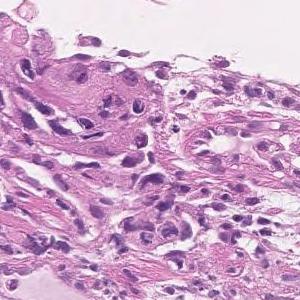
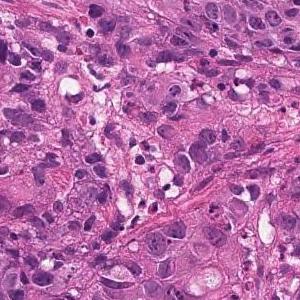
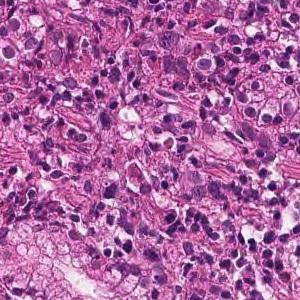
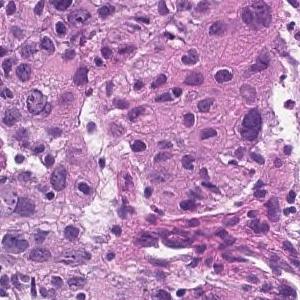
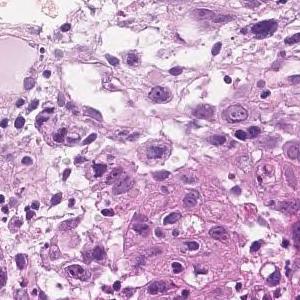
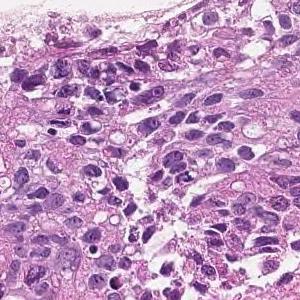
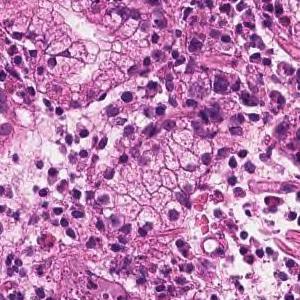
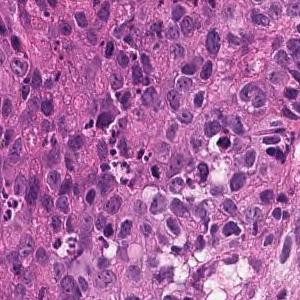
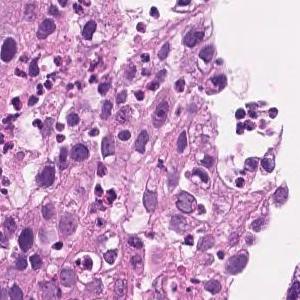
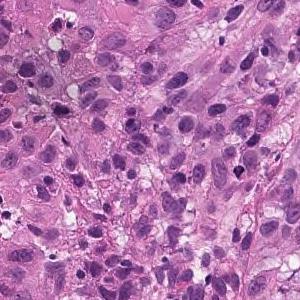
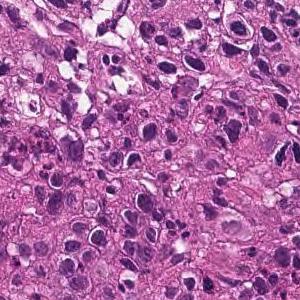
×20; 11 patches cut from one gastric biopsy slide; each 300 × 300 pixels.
Diagnostic report for the slide these tiles come from. The report and the diagnosis describe the slide as a whole, so these tiles may not show every feature named and may include non-tumor tissue.
The superficial epithelium shows a large sheet-like shape, and some tumor tissue infiltrates with small irregular ducts. Poorly differentiated adenocarcinoma, solid-type
Histological subtype: Poorly differentiated adenocarcinoma, solid type. This name comes from the Japanese Classification of Gastric Carcinoma; the WHO 2019 classification calls it tubular adenocarcinoma, poorly differentiated.
